H&E, 9 tiles from the same stomach biopsy slide, each 300 × 300 pixels.
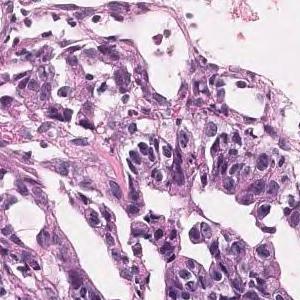
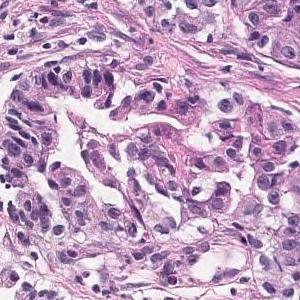
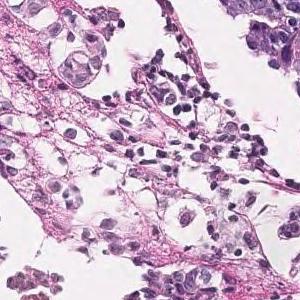
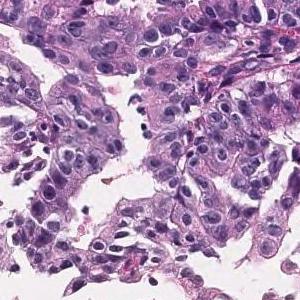
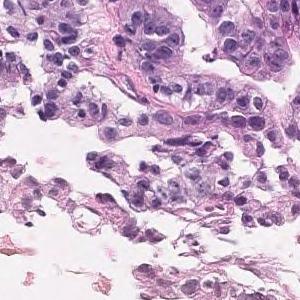
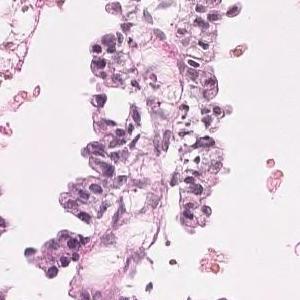
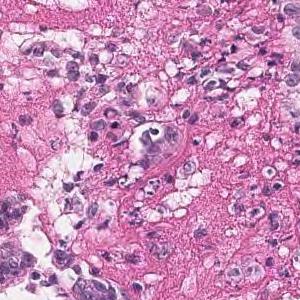
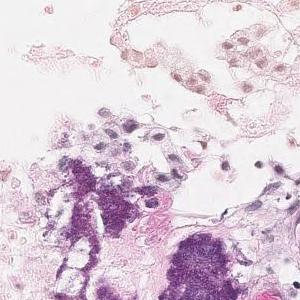
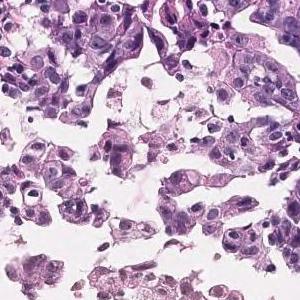
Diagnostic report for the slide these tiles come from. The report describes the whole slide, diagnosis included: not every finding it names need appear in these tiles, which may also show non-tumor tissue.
In the superficial epithelium, tumor tissue that invades by forming medium-sized to small, irregular ducts is observed. moderately differentiated tubular adenocarcinoma.
